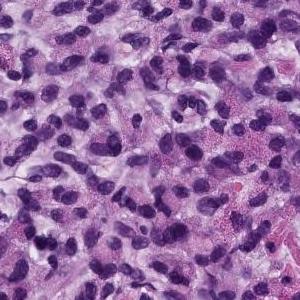
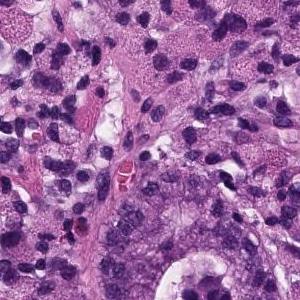
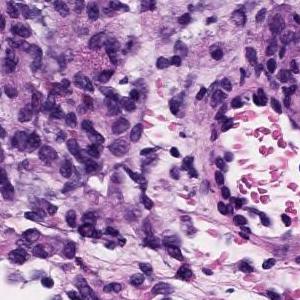
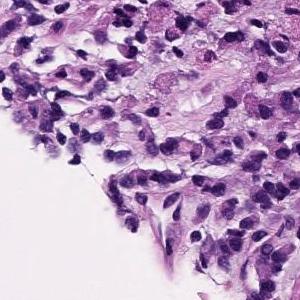
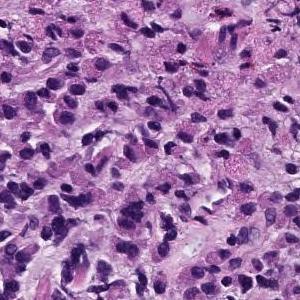
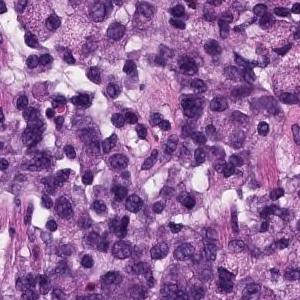
20× magnification; H&E; 6 patches cut from one gastric biopsy slide; each 300 × 300 pixels.
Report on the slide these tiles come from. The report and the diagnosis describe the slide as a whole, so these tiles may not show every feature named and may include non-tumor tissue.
The superficial epithelium shows a large sheet-like shape, and some tumor tissue infiltrates with small irregular ducts. Poorly differentiated adenocarcinoma, solid-type
Histological subtype: Poorly differentiated adenocarcinoma, solid type (Japanese Classification of Gastric Carcinoma). The WHO 2019 equivalent is tubular adenocarcinoma, poorly differentiated.
